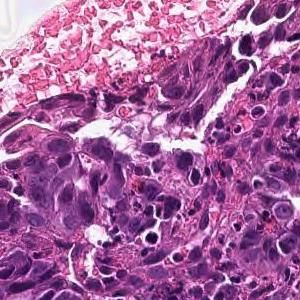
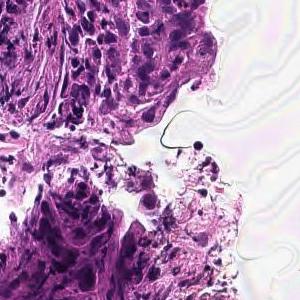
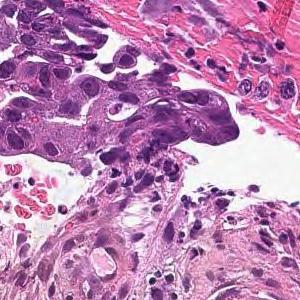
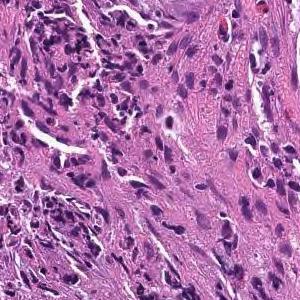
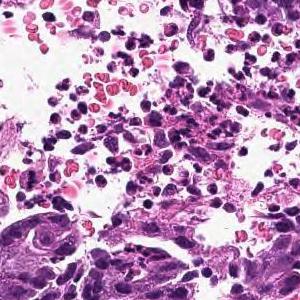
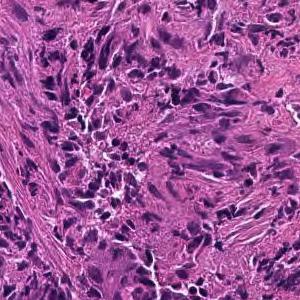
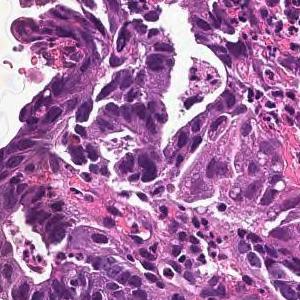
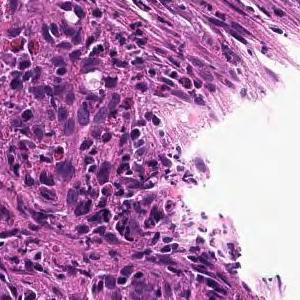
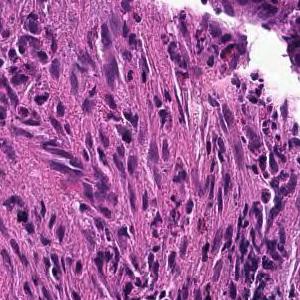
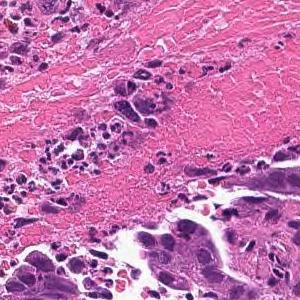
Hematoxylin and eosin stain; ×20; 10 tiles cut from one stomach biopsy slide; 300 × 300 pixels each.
Pathology report for the slide these tiles were cut from. What the report and the diagnosis say applies to the whole slide; these tiles may miss some of the features named and may include tissue that is not tumor.
In the superficial epithelium, tumor tissue that invades by forming medium-sized to small, irregular ducts is observed. moderately differentiated tubular adenocarcinoma.
